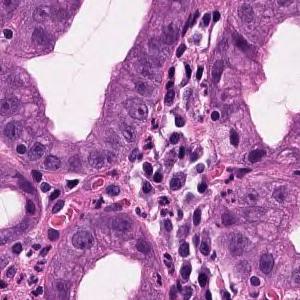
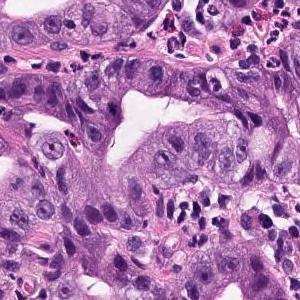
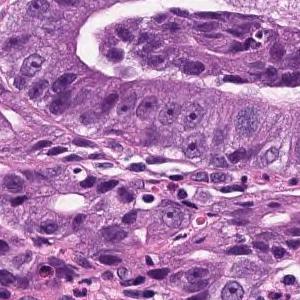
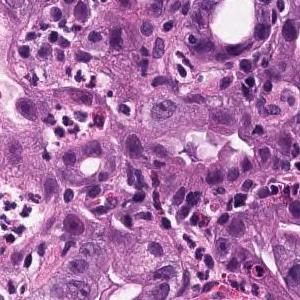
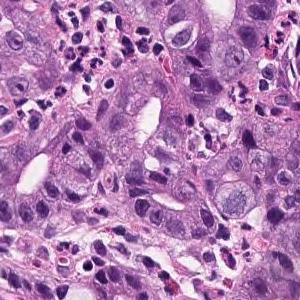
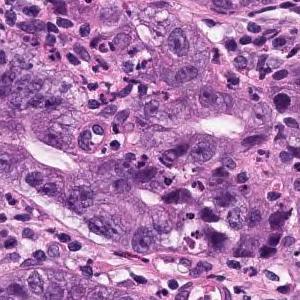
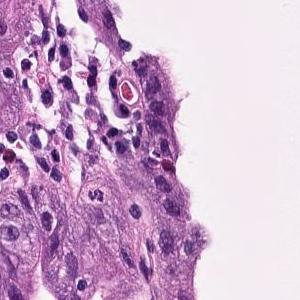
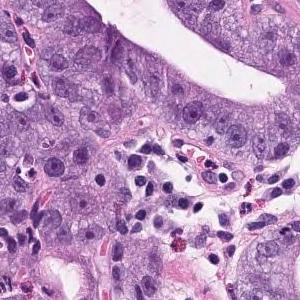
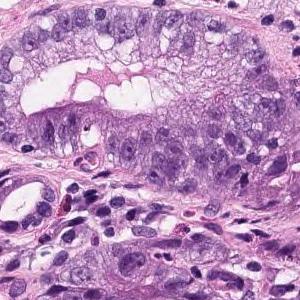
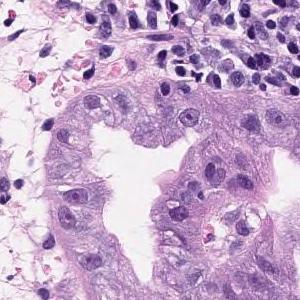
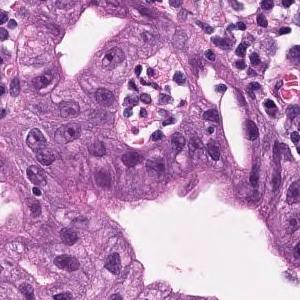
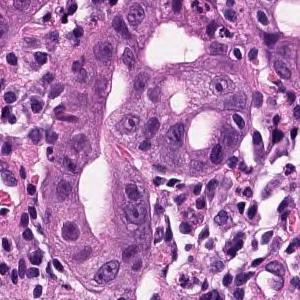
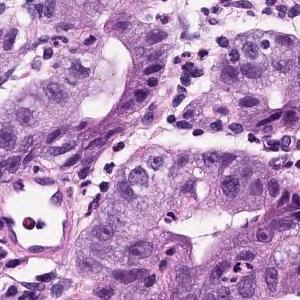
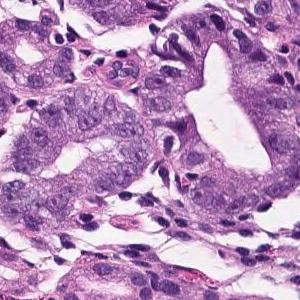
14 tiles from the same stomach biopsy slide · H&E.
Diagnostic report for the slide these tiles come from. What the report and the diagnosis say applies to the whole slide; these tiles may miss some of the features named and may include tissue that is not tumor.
In the superficial epithelium, tumor tissue that invades by forming medium-sized to small, irregular ducts is observed. Well to moderately differentiated adenocarcinoma (well differentiated tubular adenocarcinoma, moderately differentiated tubular adenocarcinoma).
Histologic type: Well to moderately differentiated tubular adenocarcinoma.
